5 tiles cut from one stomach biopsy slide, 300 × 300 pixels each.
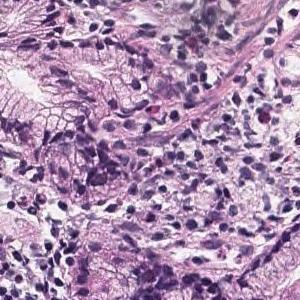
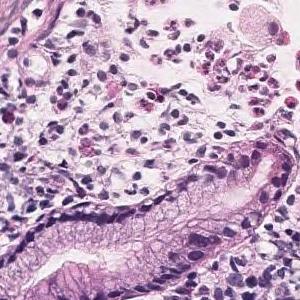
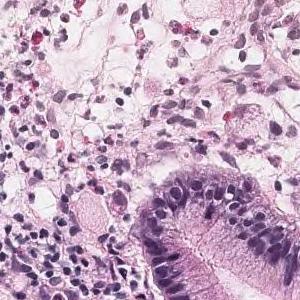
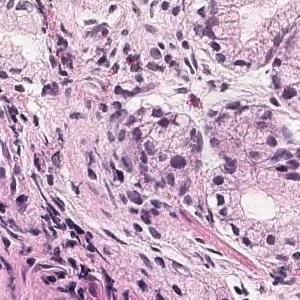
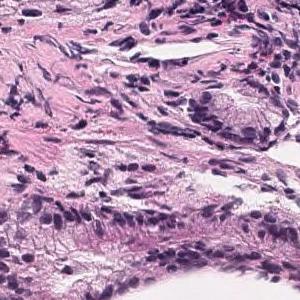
Pathology report for the biopsy slide these tiles were cut from. The report describes the whole slide, diagnosis included: not every finding it names need appear in these tiles, which may also show non-tumor tissue.
Tumor tissue is observed in which atypical epithelial cells with mucus in the vesicles proliferate while being isolated. Signet ring cell carcinoma
